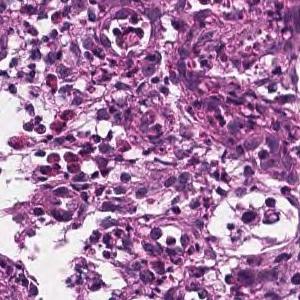
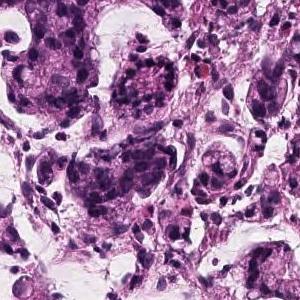
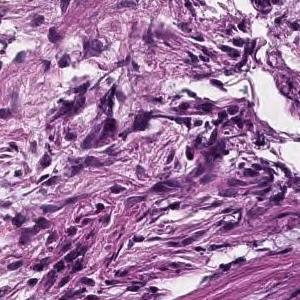
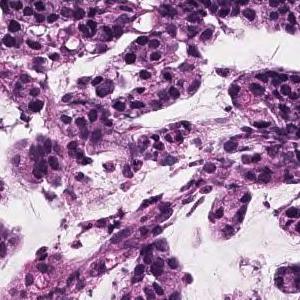
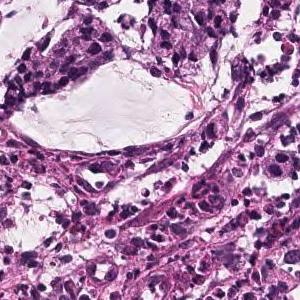
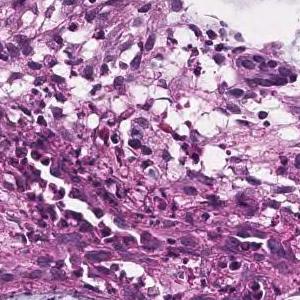
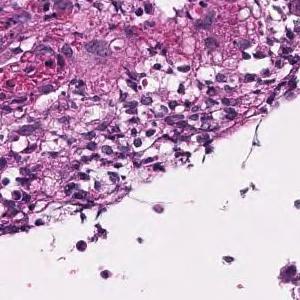
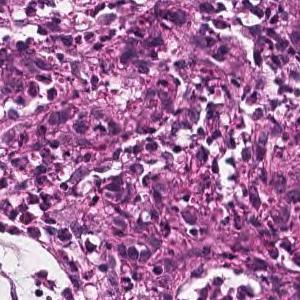
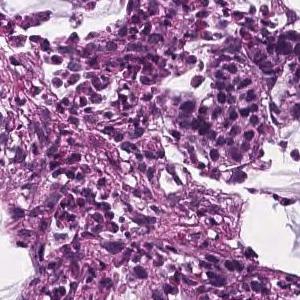
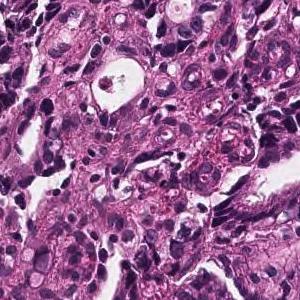
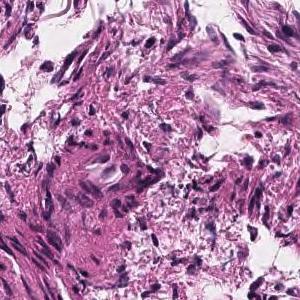
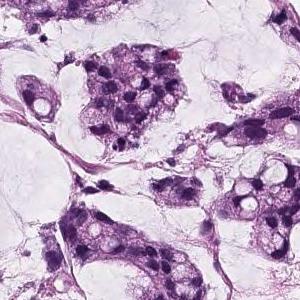
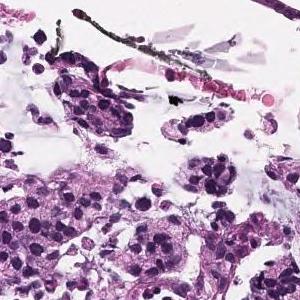
Scanned at ×20 · 13 tiles cut from one stomach biopsy slide · 300 × 300 pixels each.
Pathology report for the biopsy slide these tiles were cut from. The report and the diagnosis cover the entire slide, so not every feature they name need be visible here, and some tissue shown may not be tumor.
Atypical epithelial cells form obscure ductal structures or small solid follicles, and tumor tissue that proliferates invasively with proliferation of inflammatory granulation tissue is observed. Mucinous adenocarcinoma .
